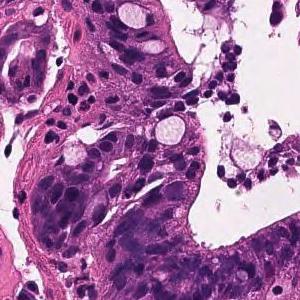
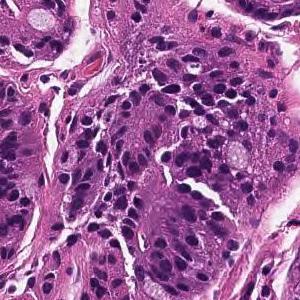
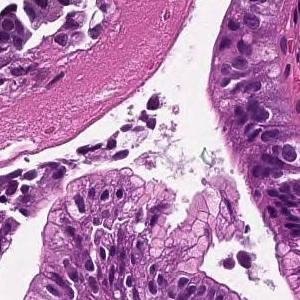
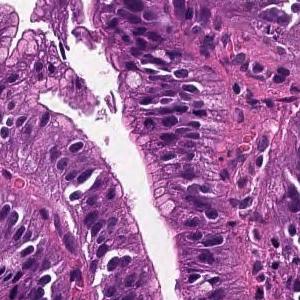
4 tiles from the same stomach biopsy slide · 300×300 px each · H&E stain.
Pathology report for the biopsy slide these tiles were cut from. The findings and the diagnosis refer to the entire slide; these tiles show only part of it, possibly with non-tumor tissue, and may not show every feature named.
On the superficial epithelium, tumor tissue that infiltrates by forming medium-sized papillary or small irregular ducts is observed. Papillary adenocarcinoma
